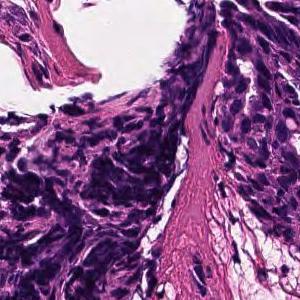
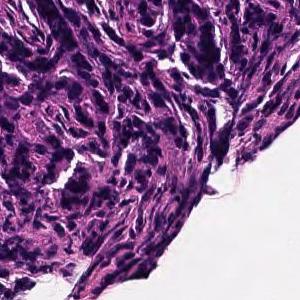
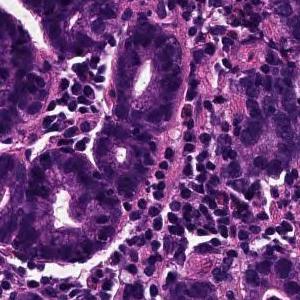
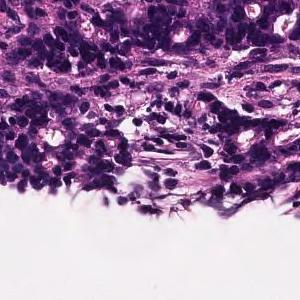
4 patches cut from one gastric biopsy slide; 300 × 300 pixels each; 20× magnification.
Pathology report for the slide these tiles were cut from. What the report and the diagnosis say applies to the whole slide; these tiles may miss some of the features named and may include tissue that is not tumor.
On the superficial epithelium, tumor tissue is found in which medium-sized irregular gland ducts fuse with each other and infiltrate. moderately differentiated tubular adenocarcinoma or Poorly differentiated adenocarcinoma, non-solid type
Subtype: Moderately to poorly differentiated adenocarcinoma.
The non-solid type named here is a Japanese Classification of Gastric Carcinoma category.
